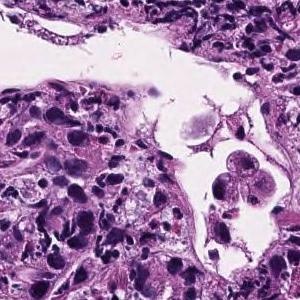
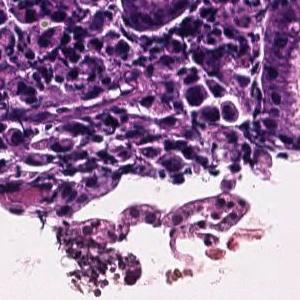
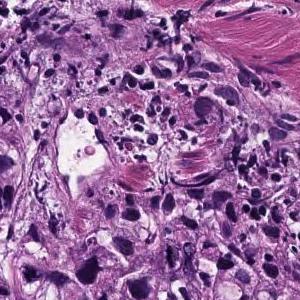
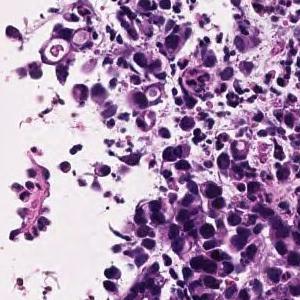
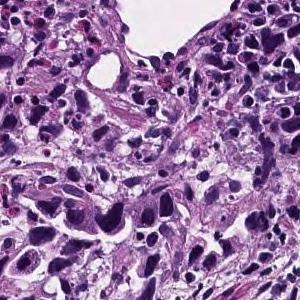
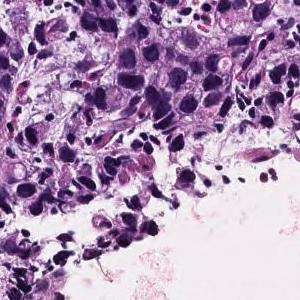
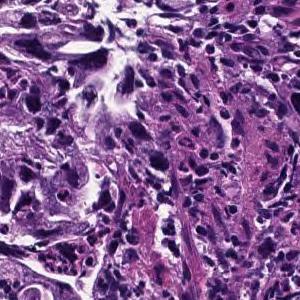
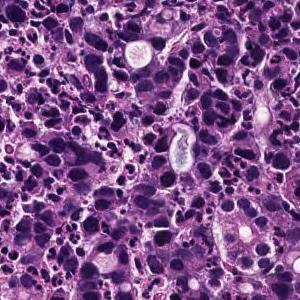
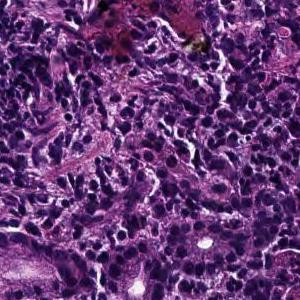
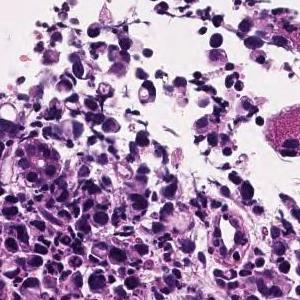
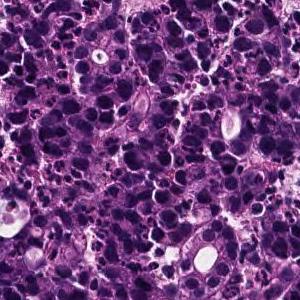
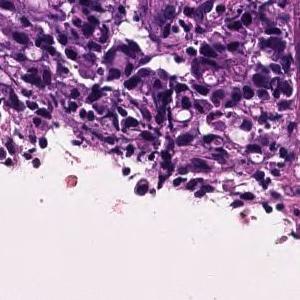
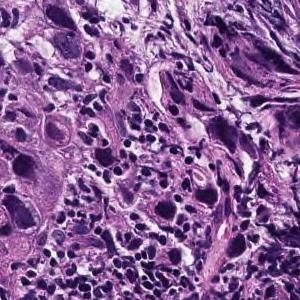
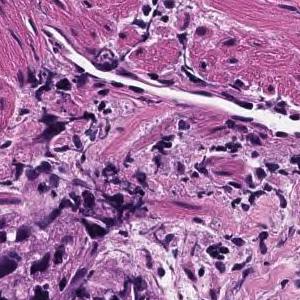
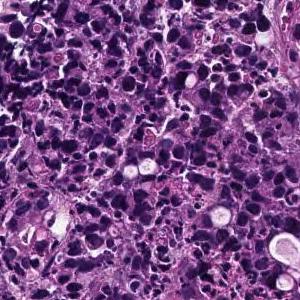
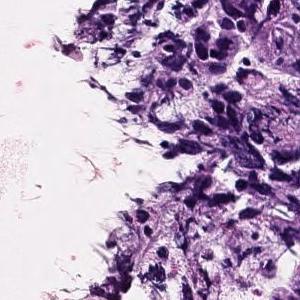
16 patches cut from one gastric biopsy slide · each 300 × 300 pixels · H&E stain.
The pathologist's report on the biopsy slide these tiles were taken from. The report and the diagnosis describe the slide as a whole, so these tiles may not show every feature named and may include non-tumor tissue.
The superficial epithelium shows a large sheet-like shape, and some tumor tissue infiltrates with small irregular ducts. Poorly differentiated adenocarcinoma, solid-type
Subtype: Poorly differentiated adenocarcinoma, solid type (Japanese Classification of Gastric Carcinoma). The WHO 2019 equivalent is tubular adenocarcinoma, poorly differentiated.
